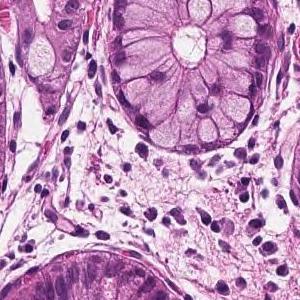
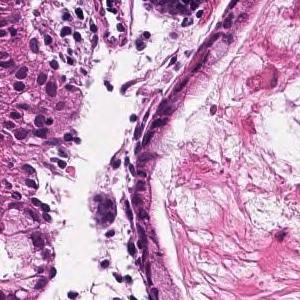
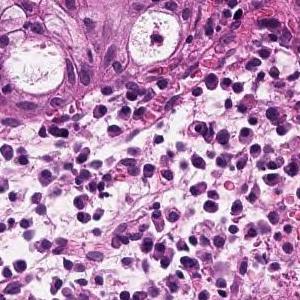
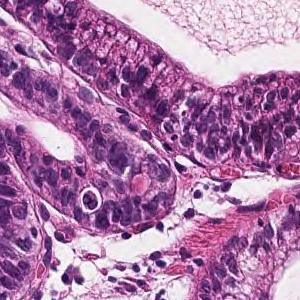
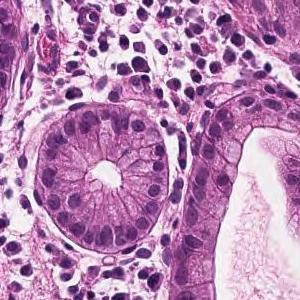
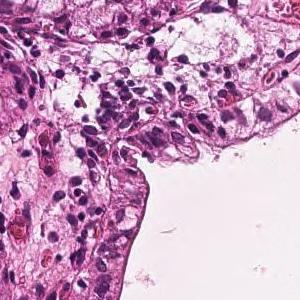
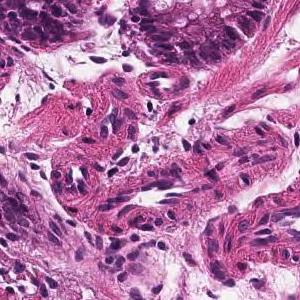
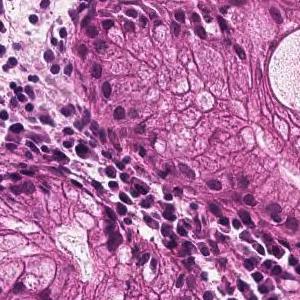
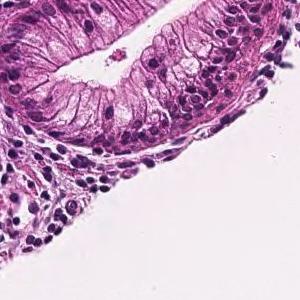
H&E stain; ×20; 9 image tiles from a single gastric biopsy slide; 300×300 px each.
Pathology report for the slide these tiles were cut from. The report describes the whole slide, diagnosis included: not every finding it names need appear in these tiles, which may also show non-tumor tissue.
In the superficial epithelium, tumor tissue that invades by forming medium-sized to small, irregular ducts is observed. Well differentiated tubular adenocarcinoma.
